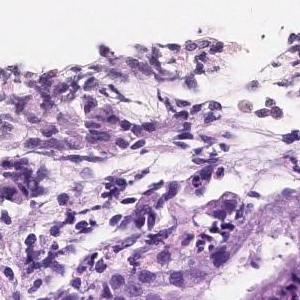
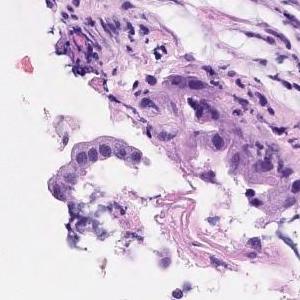
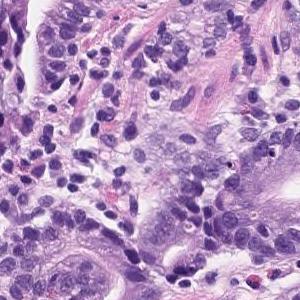
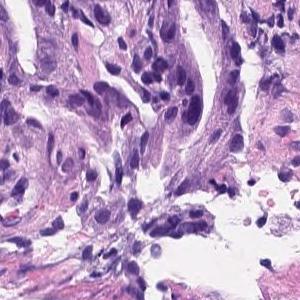
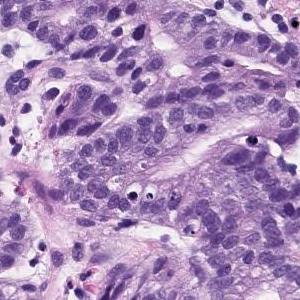
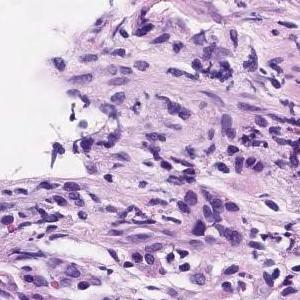
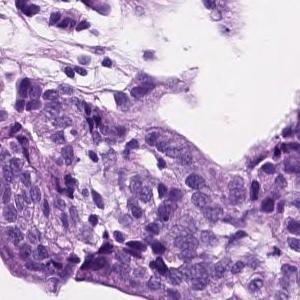
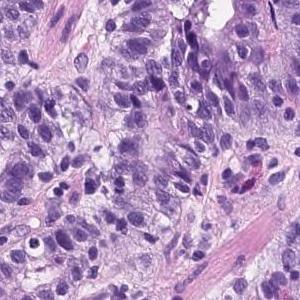
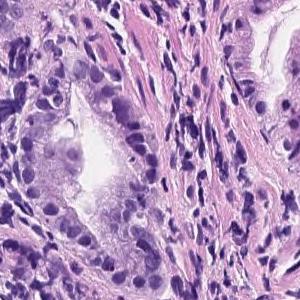
Scanned at ×20 · hematoxylin and eosin stain · 9 tiles from the same stomach biopsy slide.
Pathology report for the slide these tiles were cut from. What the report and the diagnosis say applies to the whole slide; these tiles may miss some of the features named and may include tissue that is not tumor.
Tumor tissue consisting of medium-sized and irregular ducts is observed infiltrating in the superficial epithelium. Tumor cells are highly columnar, with nuclei aligned basolaterally and polarized. Well differentiated tubular adenocarcinoma.
